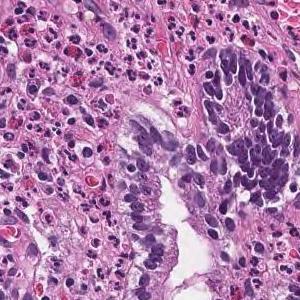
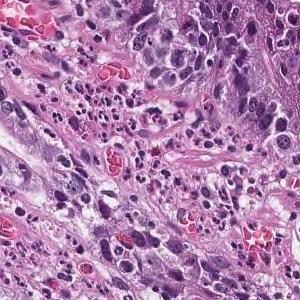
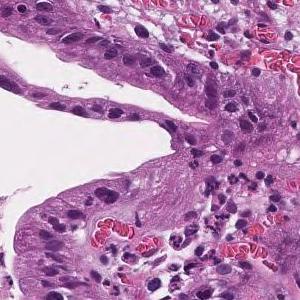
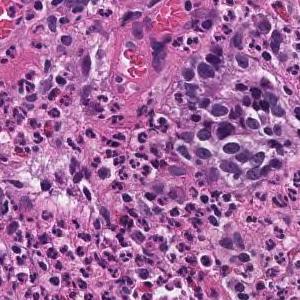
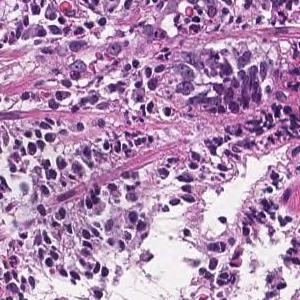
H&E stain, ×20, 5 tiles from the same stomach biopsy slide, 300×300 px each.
Pathology report for the slide these tiles were cut from. What the report and the diagnosis say applies to the whole slide; these tiles may miss some of the features named and may include tissue that is not tumor.
Tumor cells are large, highly columnar, large club-shaped nuclei, and are associated with chromatin aggregation. Papillary adenocarcinoma.
